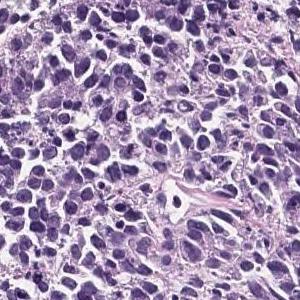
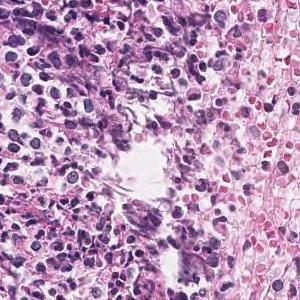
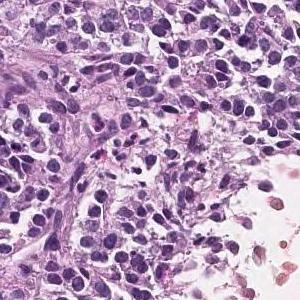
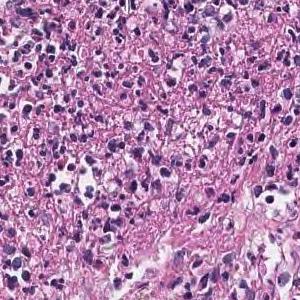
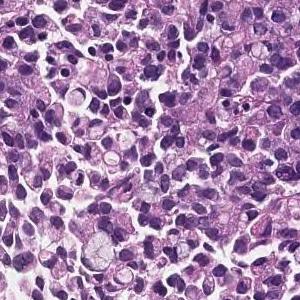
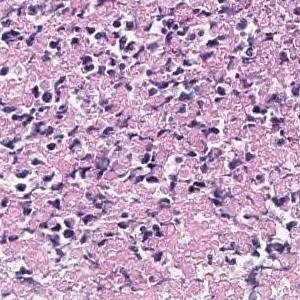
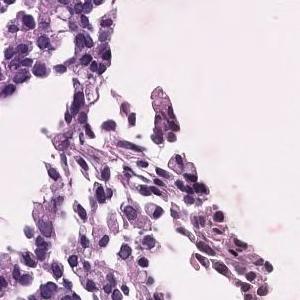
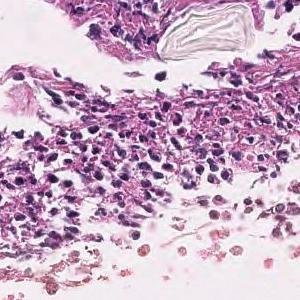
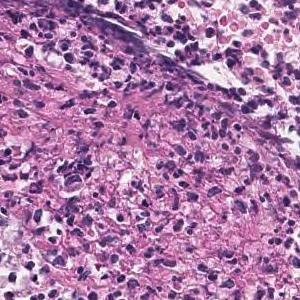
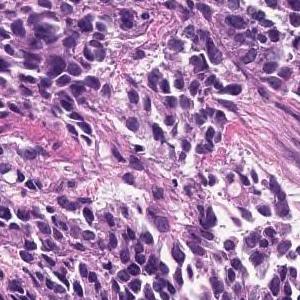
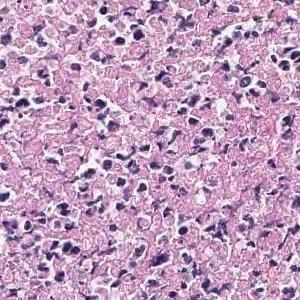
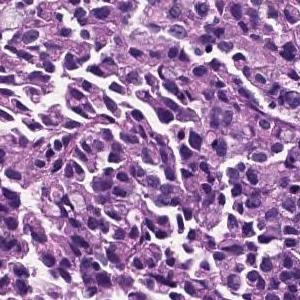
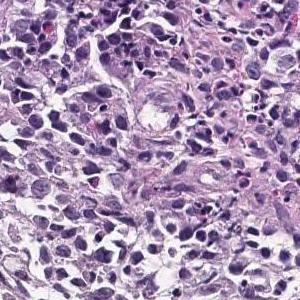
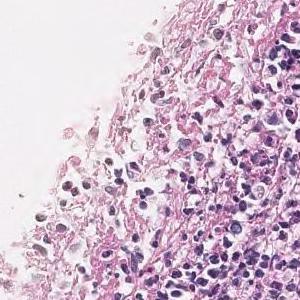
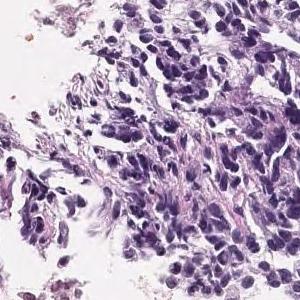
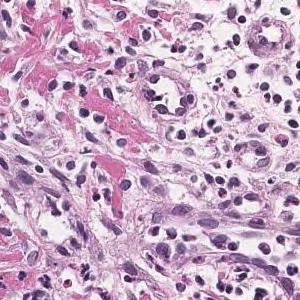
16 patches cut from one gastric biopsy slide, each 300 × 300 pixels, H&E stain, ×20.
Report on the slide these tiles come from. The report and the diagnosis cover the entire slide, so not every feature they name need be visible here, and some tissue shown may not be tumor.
The superficial epithelium shows a large sheet-like shape, and some tumor tissue infiltrates with small irregular ducts. Poorly differentiated adenocarcinoma, solid-type
Tumor subtype: poorly differentiated adenocarcinoma, solid type, a category of the Japanese Classification of Gastric Carcinoma; in the WHO 2019 classification it is tubular adenocarcinoma, poorly differentiated.
